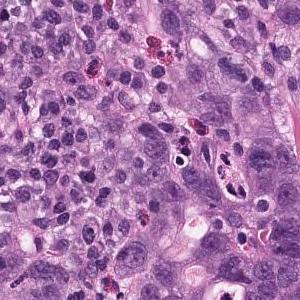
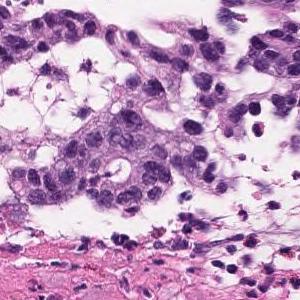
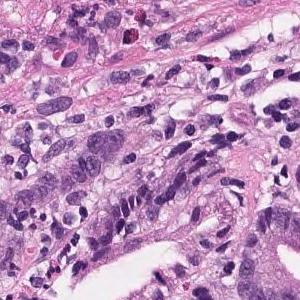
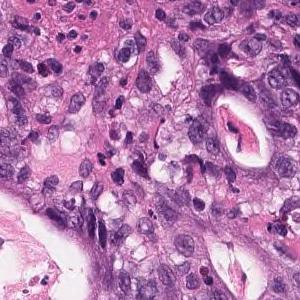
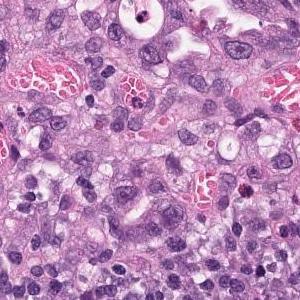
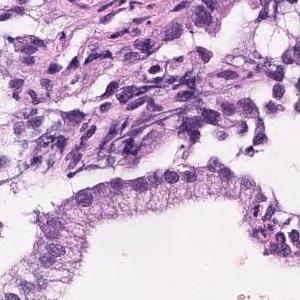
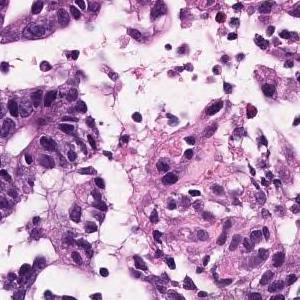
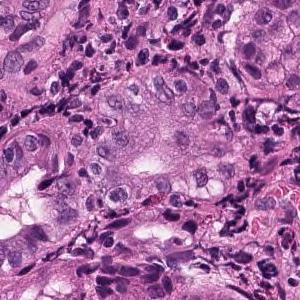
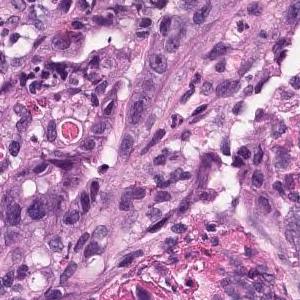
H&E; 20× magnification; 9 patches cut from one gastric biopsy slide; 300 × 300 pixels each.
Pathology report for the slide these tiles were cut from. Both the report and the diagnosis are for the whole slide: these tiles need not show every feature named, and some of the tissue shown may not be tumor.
Atypical ducts proliferating with obscure duct construction and solid sequences is observed. Moderately to poorly differentiated adenocarcinoma.
